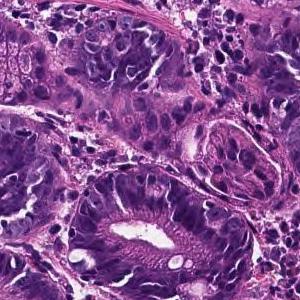
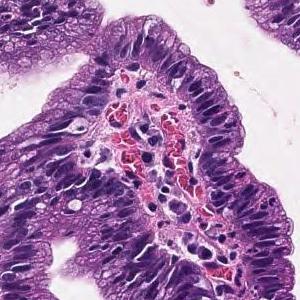
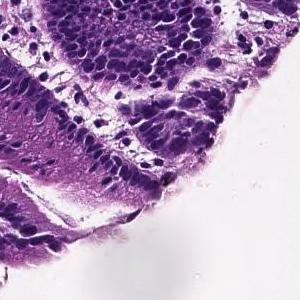
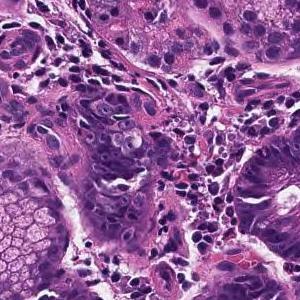
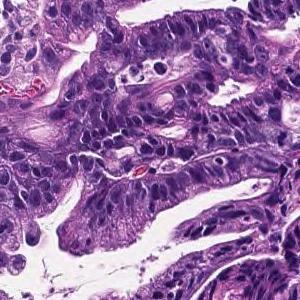
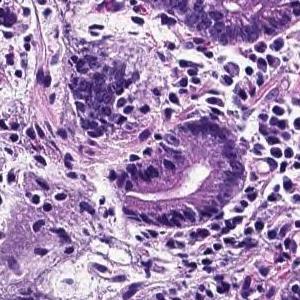
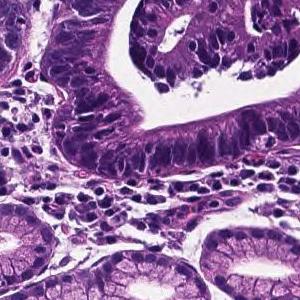
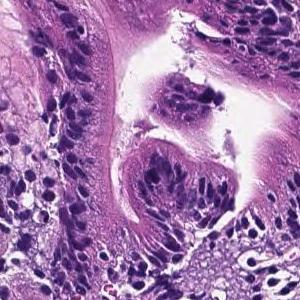
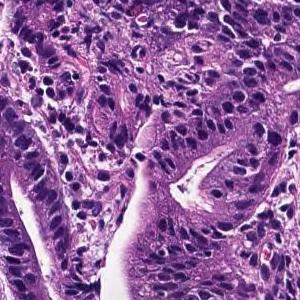
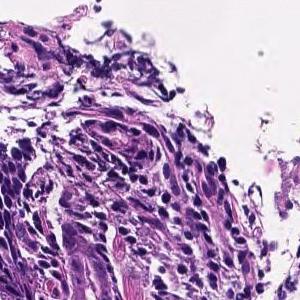
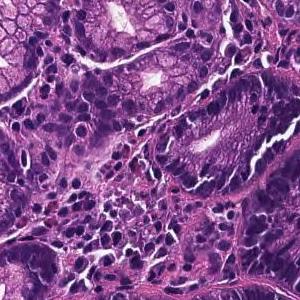
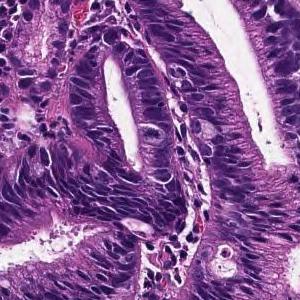
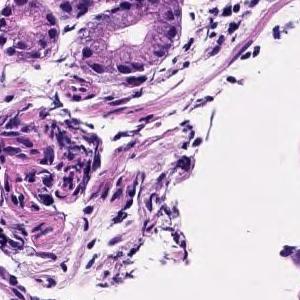
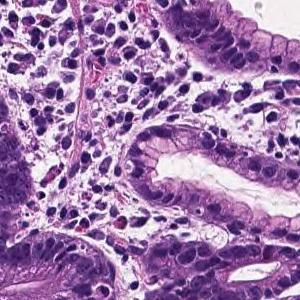
Scanned at ×20 · 14 tiles cut from one stomach biopsy slide · 300 × 300 pixels each.
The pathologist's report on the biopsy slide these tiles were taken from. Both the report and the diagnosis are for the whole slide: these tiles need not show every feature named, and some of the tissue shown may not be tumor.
From the superficial epithelium to the muscularis mucosae, tumor tissue consisting of medium-sized and irregular glandular ducts infiltrating is observed. Well differentiated tubular adenocarcinoma
